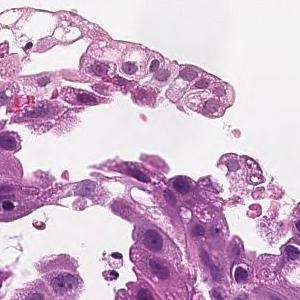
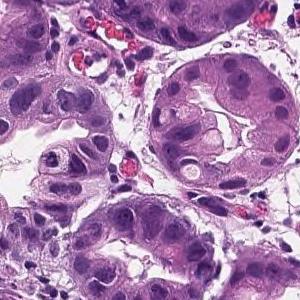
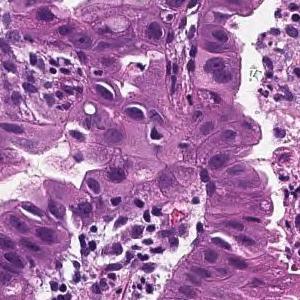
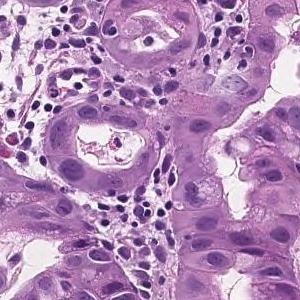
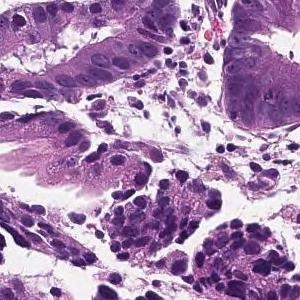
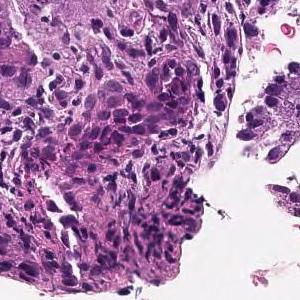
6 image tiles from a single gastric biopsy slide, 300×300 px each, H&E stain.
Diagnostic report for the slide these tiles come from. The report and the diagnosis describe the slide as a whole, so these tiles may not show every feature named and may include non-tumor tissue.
On the superficial epithelium, tumor tissue that infiltrates by forming medium-sized papillary or small irregular ducts is observed. Papillary adenocarcinoma
